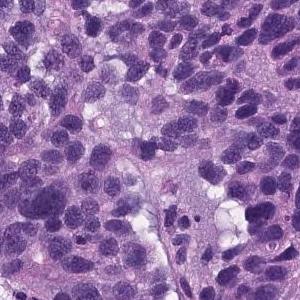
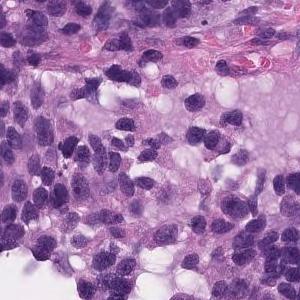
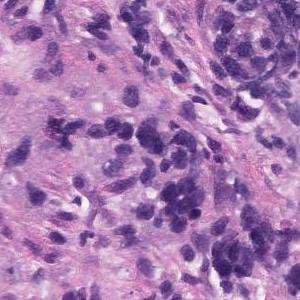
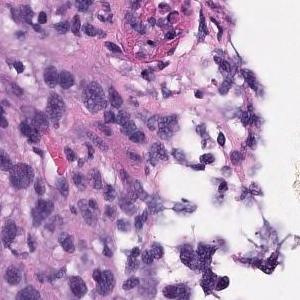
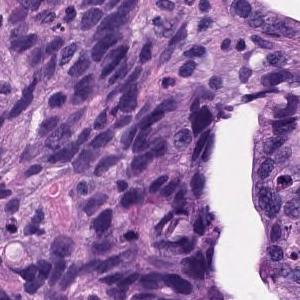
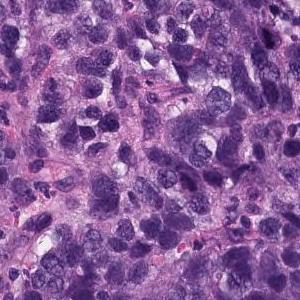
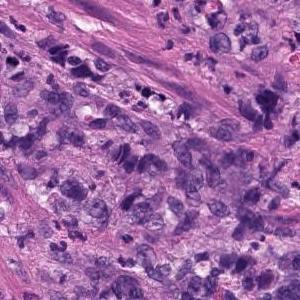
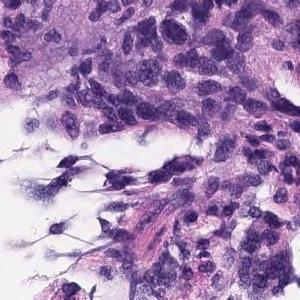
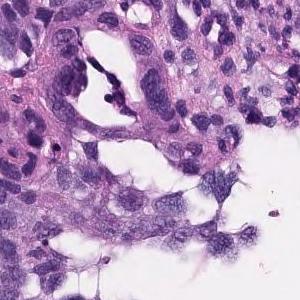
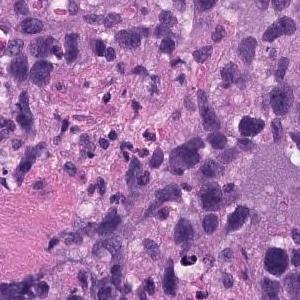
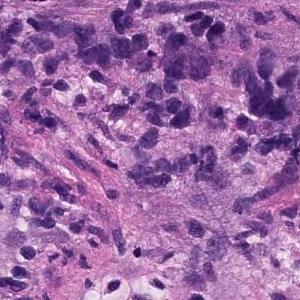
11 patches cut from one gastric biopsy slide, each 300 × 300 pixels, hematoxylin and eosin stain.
Report on the slide these tiles come from. The report describes the whole slide, diagnosis included: not every finding it names need appear in these tiles, which may also show non-tumor tissue.
Atypical l cells with atypical nuclei under the mucosa growing in isolation and scattered. Poorly differentiated adenocarcinoma (poorly differentiated adenocarcinoma, non-solid type)
Tumor subtype: poorly differentiated adenocarcinoma, non-solid type.
"Non-solid type" is a category of the Japanese Classification of Gastric Carcinoma.
